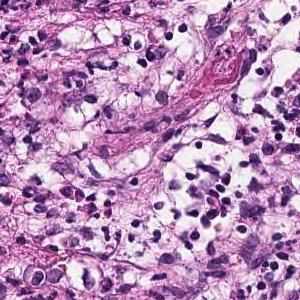
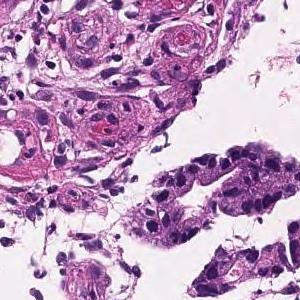
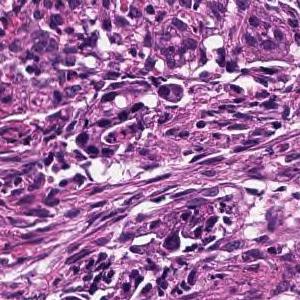
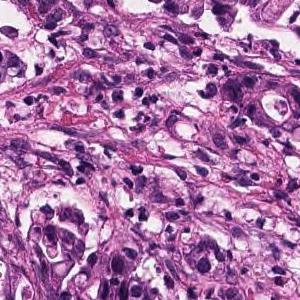
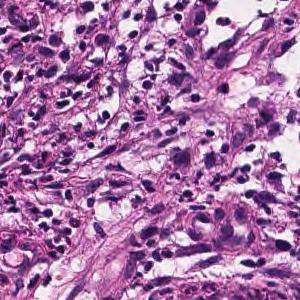
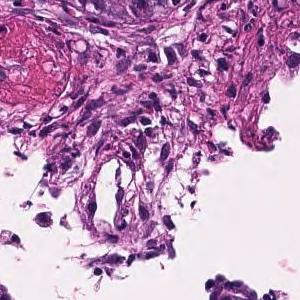
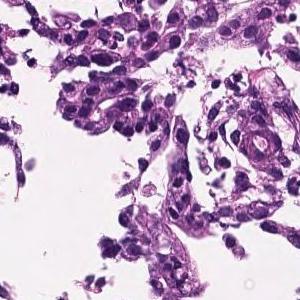
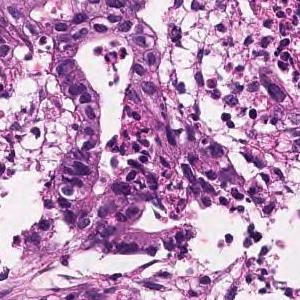
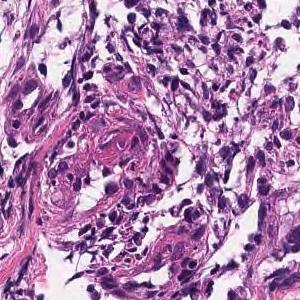
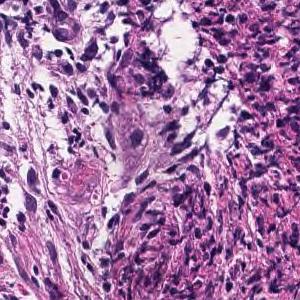
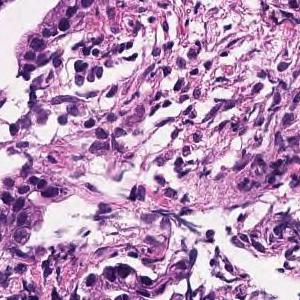
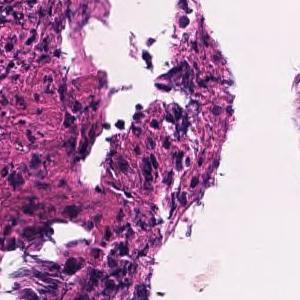
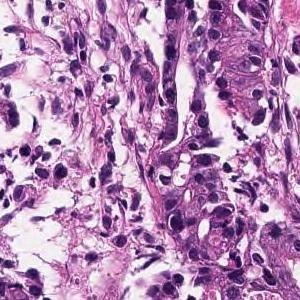
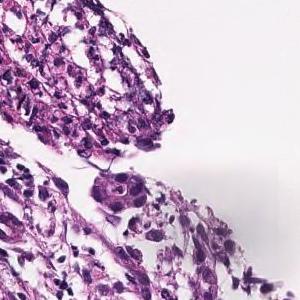
H&E · 20× magnification · 14 image tiles from a single gastric biopsy slide.
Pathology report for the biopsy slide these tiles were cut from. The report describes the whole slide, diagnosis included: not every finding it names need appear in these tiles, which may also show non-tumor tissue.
In the superficial epithelium, medium to small, irregular gland ducts are formed, and in some cases, the gland ducts are fused to show solid alveolar lesions and infiltrating tumor tissue is observed. Moderately to poorly differentiated adenocarcinoma.
